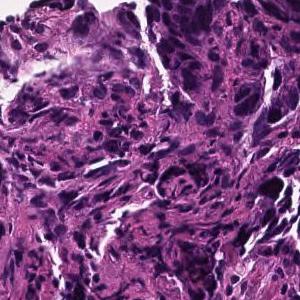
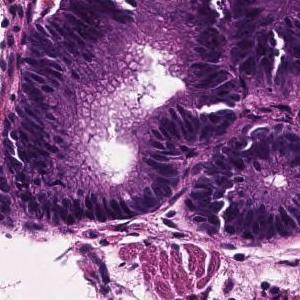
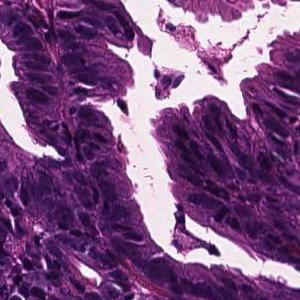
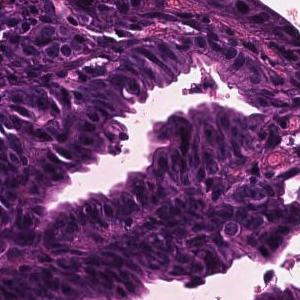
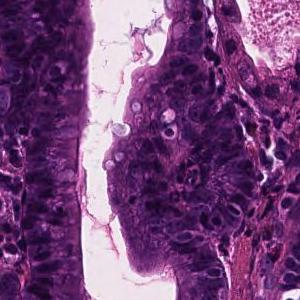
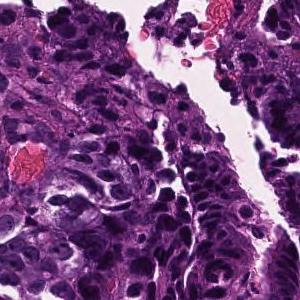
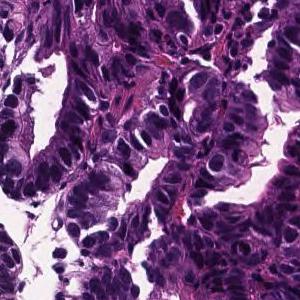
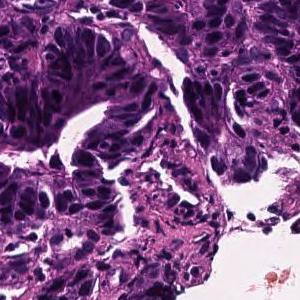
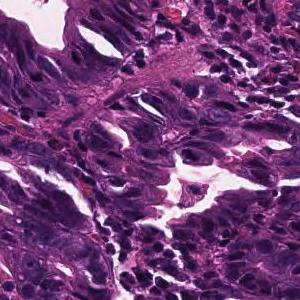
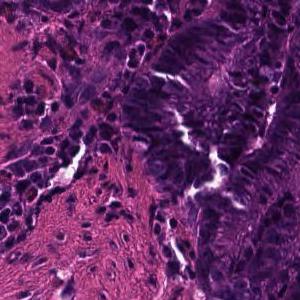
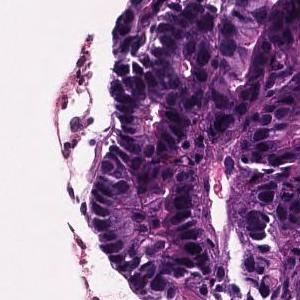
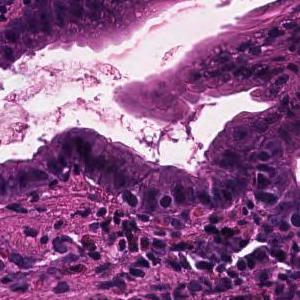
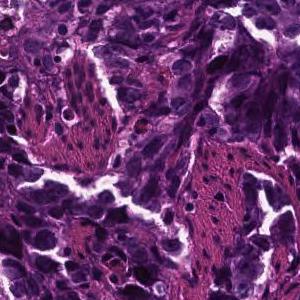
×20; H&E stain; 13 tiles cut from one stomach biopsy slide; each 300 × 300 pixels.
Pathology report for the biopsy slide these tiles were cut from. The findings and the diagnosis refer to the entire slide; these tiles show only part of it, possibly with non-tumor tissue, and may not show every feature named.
In the superficial epithelium, tumor tissue that invades by forming medium-sized to small, irregular ducts is observed. moderately differentiated tubular adenocarcinoma.
